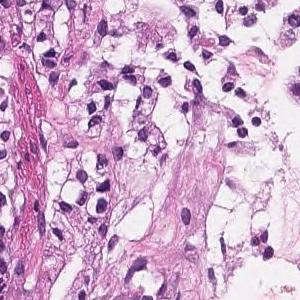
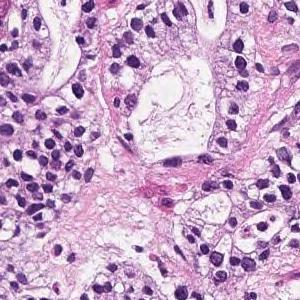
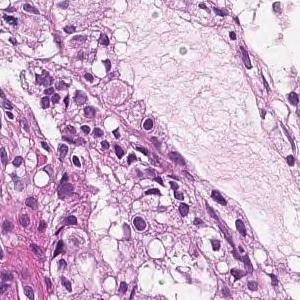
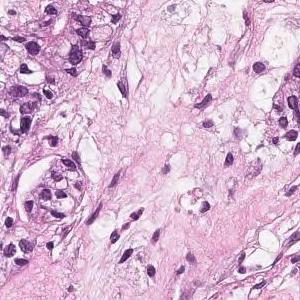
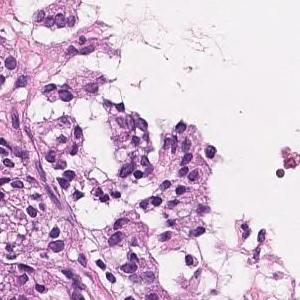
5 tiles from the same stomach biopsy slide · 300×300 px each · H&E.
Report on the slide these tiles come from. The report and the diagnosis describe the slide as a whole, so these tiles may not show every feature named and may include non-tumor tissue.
In the superficial epithelium, tumor tissue that invades by forming medium-sized to small, irregular ducts is observed. moderately differentiated tubular adenocarcinoma.
